8 patches cut from one gastric biopsy slide, H&E stain.
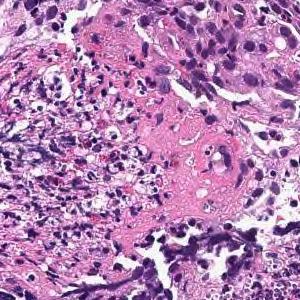
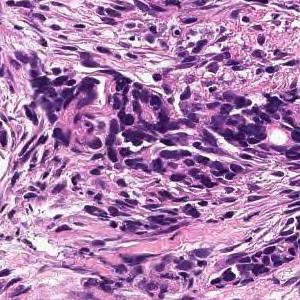
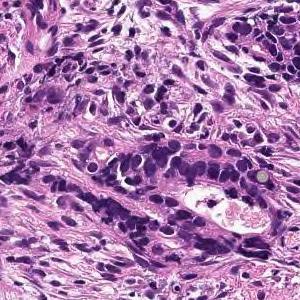
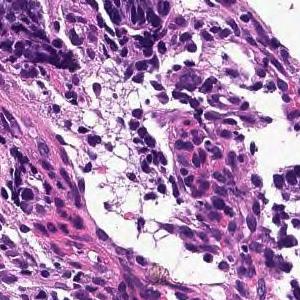
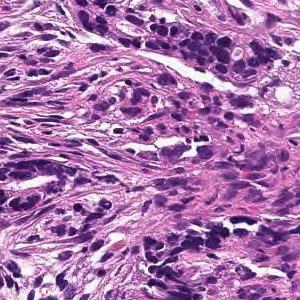
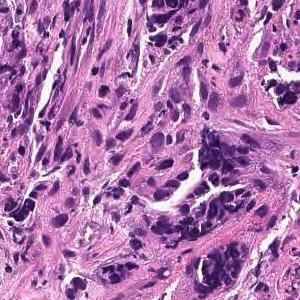
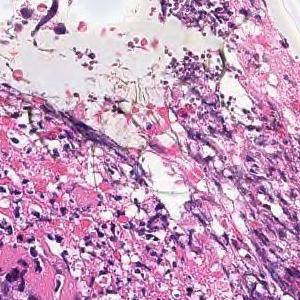
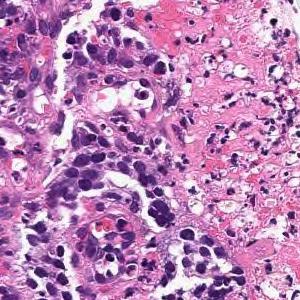
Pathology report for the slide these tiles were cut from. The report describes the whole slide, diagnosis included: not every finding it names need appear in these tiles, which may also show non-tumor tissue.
Tumor tissue consisting of medium-sized, cord-like or irregular glandular infiltration is observed in the superficial epithelium. Poorly differentiated adenocarcinoma, non-solid type or moderately differentiated tubular adenocarcinoma
Tumor subtype: moderately to poorly differentiated adenocarcinoma.
The non-solid type named here is a Japanese Classification of Gastric Carcinoma category.
